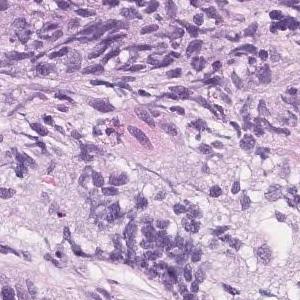
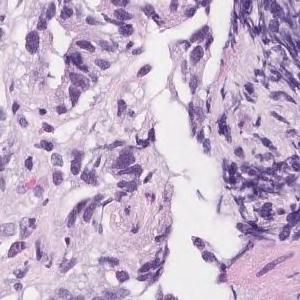
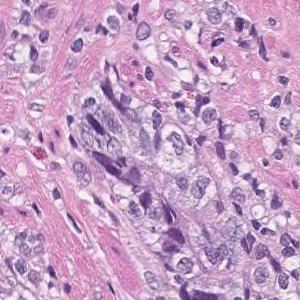
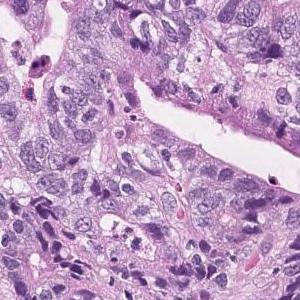
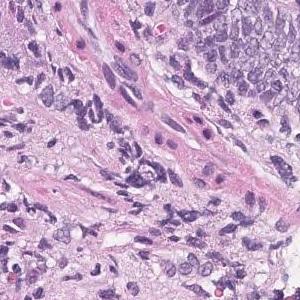
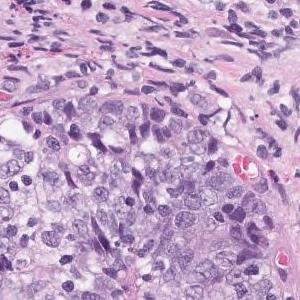
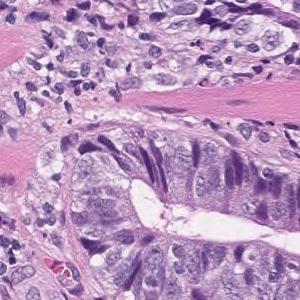
7 tiles from the same stomach biopsy slide · H&E.
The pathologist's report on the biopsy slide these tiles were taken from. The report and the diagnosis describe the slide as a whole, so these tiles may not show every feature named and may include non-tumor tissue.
Highly columnar epithelium with disordered nuclear localization proliferates showing fusion ductal construction. moderately differentiated tubular adenocarcinoma
